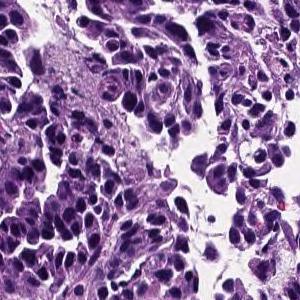
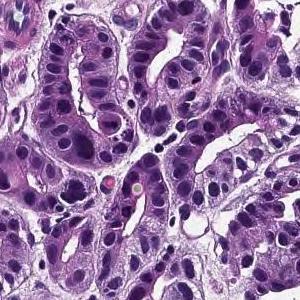
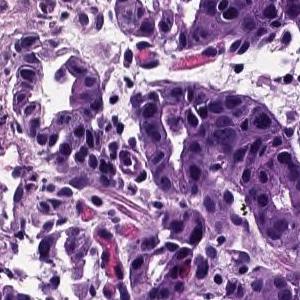
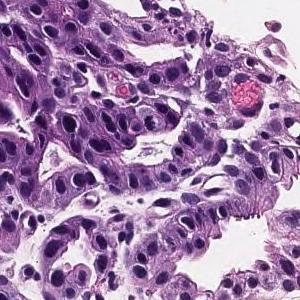
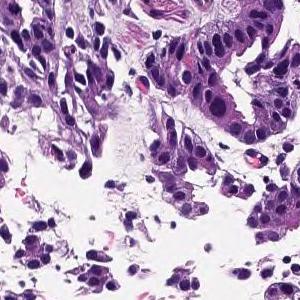
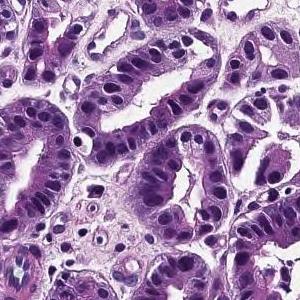
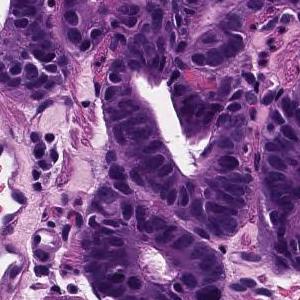
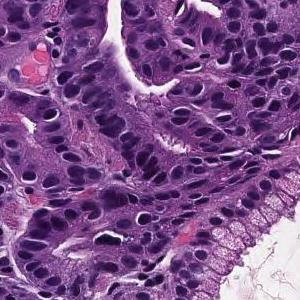
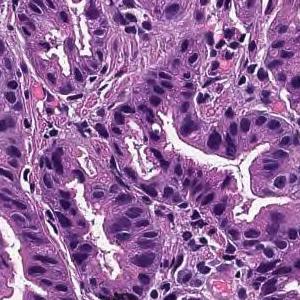
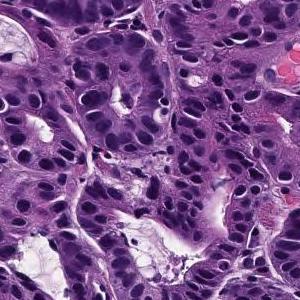
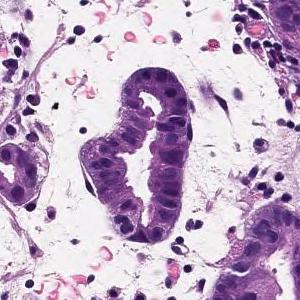
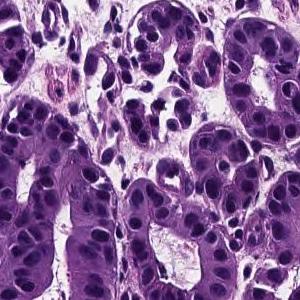
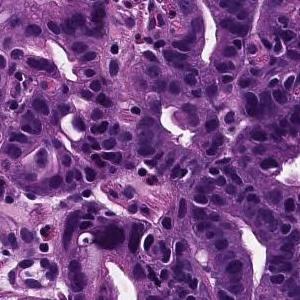
×20; H&E; 13 tiles cut from one stomach biopsy slide.
The pathologist's report on the biopsy slide these tiles were taken from. The report and the diagnosis cover the entire slide, so not every feature they name need be visible here, and some tissue shown may not be tumor.
From the superficial epithelium to the muscularis mucosae, tumor tissue consisting of medium-sized and irregular glandular ducts infiltrating is observed. Well differentiated tubular adenocarcinoma
